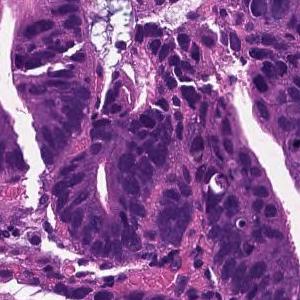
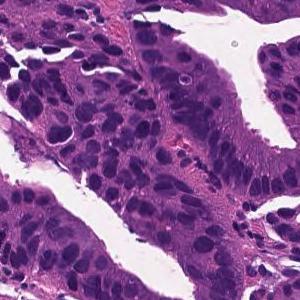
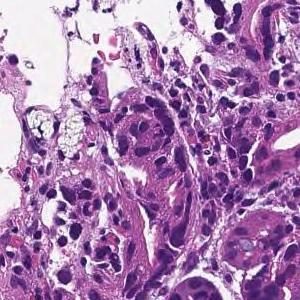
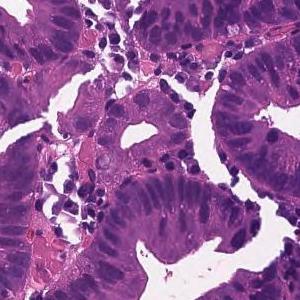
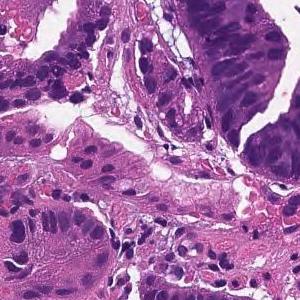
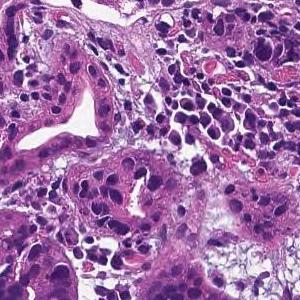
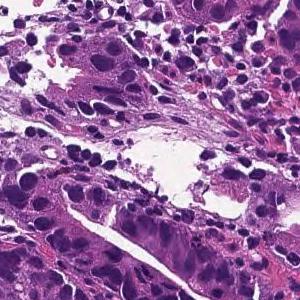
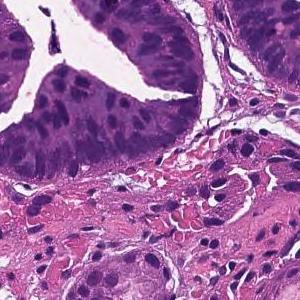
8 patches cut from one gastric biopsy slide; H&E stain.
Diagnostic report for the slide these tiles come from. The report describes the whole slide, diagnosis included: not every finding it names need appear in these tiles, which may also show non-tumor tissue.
From the superficial epithelium to the muscularis mucosae, tumor tissue consisting of medium-sized and irregular glandular ducts infiltrating is observed. Well differentiated tubular adenocarcinoma
